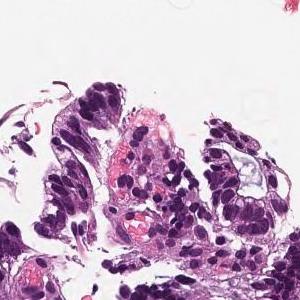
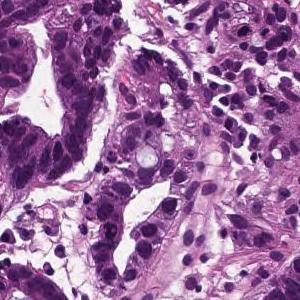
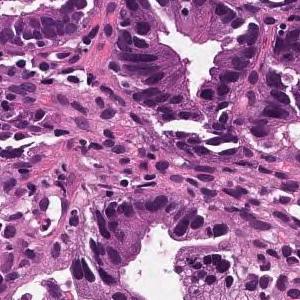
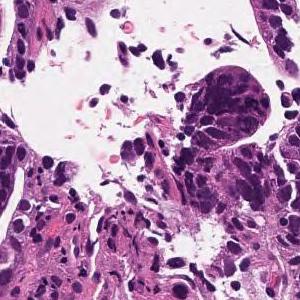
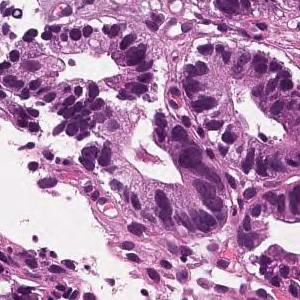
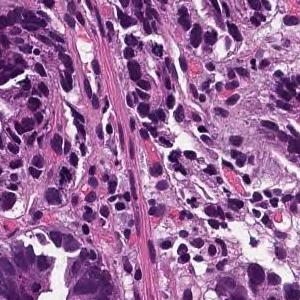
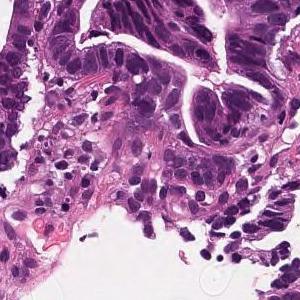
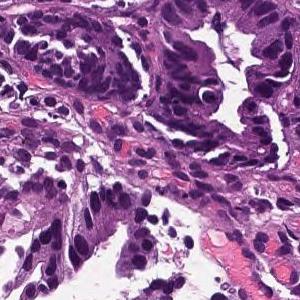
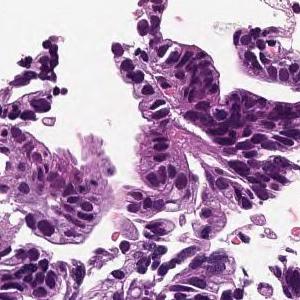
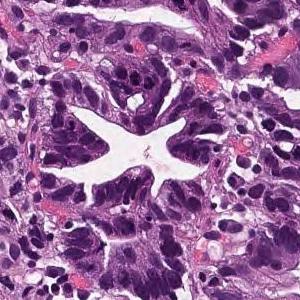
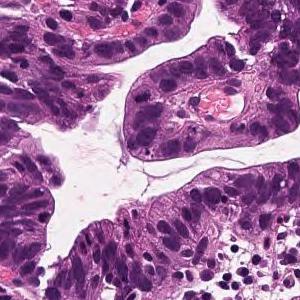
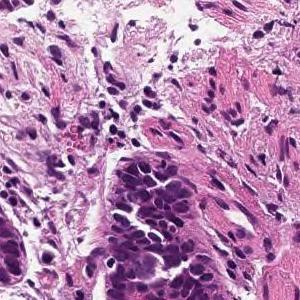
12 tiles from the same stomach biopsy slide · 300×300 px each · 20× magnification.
Pathology report for the biopsy slide these tiles were cut from. The report and the diagnosis describe the slide as a whole, so these tiles may not show every feature named and may include non-tumor tissue.
From the superficial epithelium to the muscularis mucosae, tumor tissue consisting of medium-sized and irregular glandular ducts infiltrating is observed. Well differentiated tubular adenocarcinoma
